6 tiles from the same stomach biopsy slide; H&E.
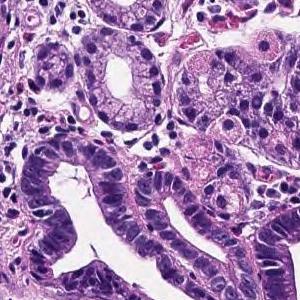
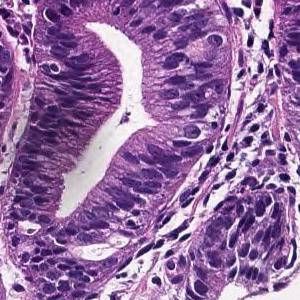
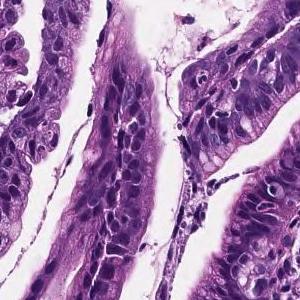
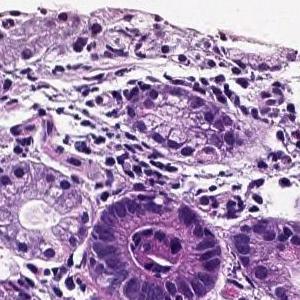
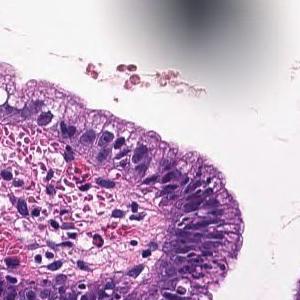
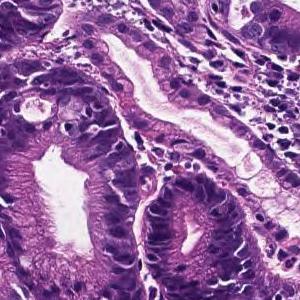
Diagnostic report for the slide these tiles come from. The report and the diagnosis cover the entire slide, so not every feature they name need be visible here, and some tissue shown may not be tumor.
From the superficial epithelium to the muscularis mucosae, tumor tissue consisting of medium-sized and irregular glandular ducts infiltrating is observed. Well differentiated tubular adenocarcinoma
